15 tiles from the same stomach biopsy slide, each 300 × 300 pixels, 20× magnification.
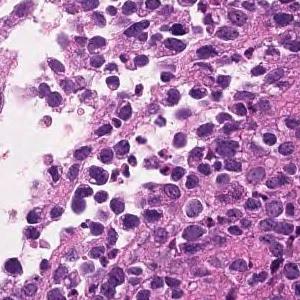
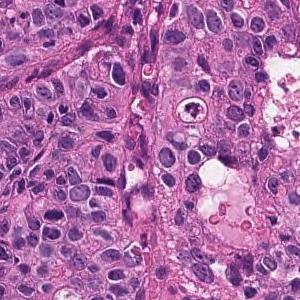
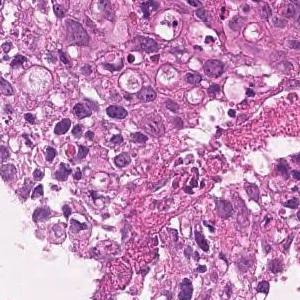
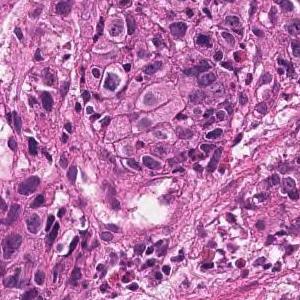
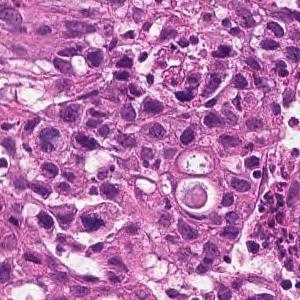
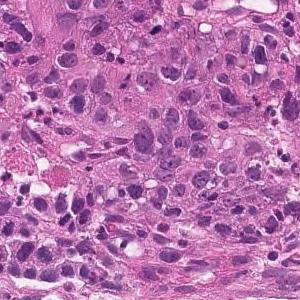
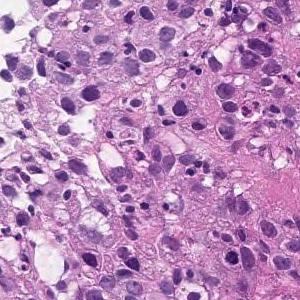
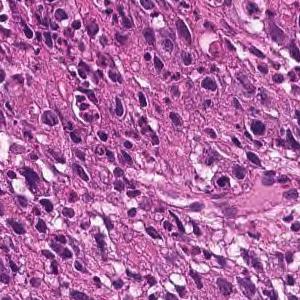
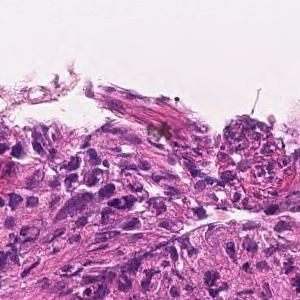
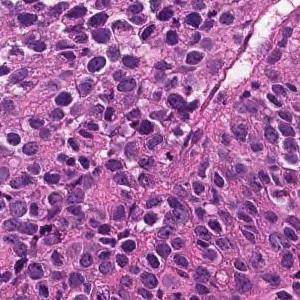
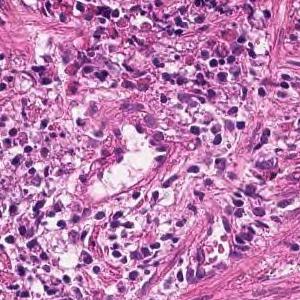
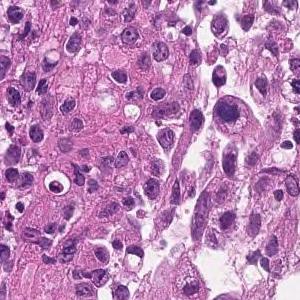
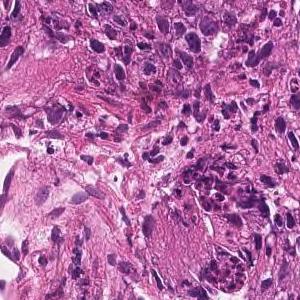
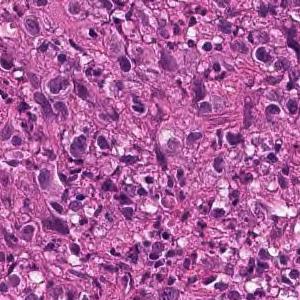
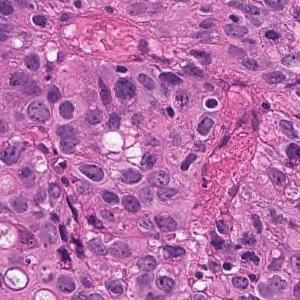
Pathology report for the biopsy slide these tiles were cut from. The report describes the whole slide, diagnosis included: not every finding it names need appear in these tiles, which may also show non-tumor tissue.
The superficial epithelium shows a large sheet-like shape, and some tumor tissue infiltrates with small irregular ducts. Poorly differentiated adenocarcinoma, solid-type
Histologic type: Poorly differentiated adenocarcinoma, solid type (Japanese Classification of Gastric Carcinoma). The WHO 2019 equivalent is tubular adenocarcinoma, poorly differentiated.
